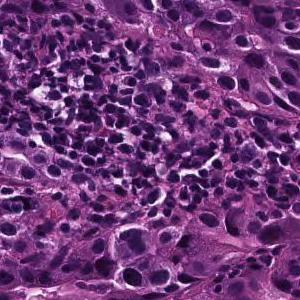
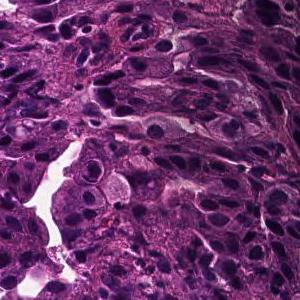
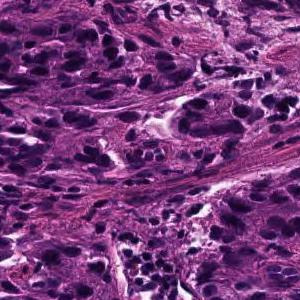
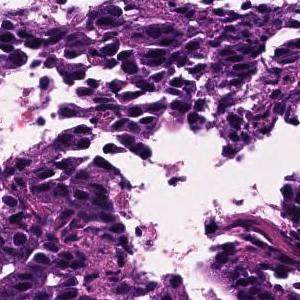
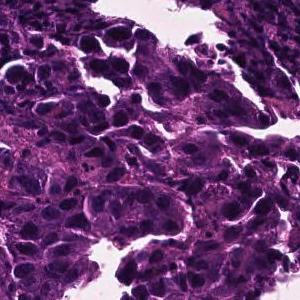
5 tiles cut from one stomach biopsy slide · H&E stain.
Pathology report for the biopsy slide these tiles were cut from. The report describes the whole slide, diagnosis included: not every finding it names need appear in these tiles, which may also show non-tumor tissue.
Tumor tissue consisting of medium-sized, cord-like or irregular glandular fusion and infiltration is observed in the superficial epithelium. Poorly differentiated adenocarcinoma, non-solid type or moderately differentiated tubular adenocarcinoma
Subtype: Moderately to poorly differentiated adenocarcinoma.
The term "non-solid type" comes from the Japanese Classification of Gastric Carcinoma.
